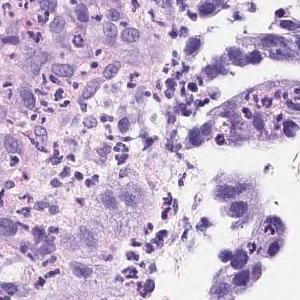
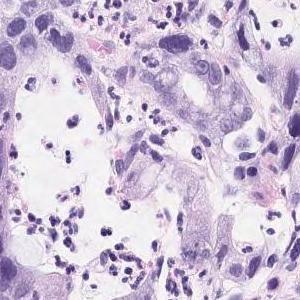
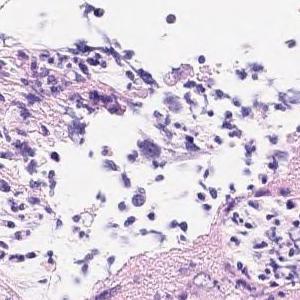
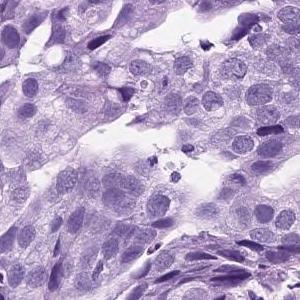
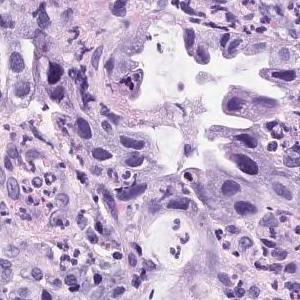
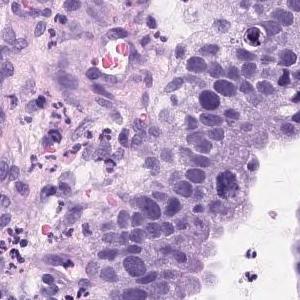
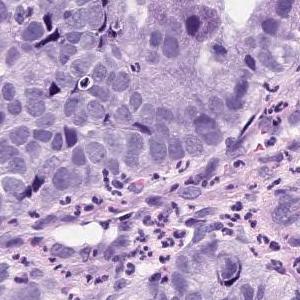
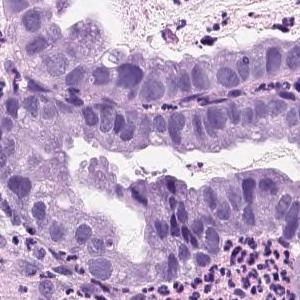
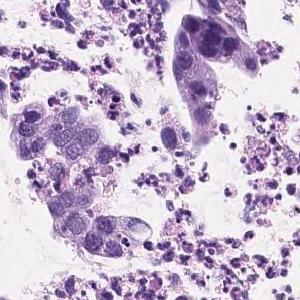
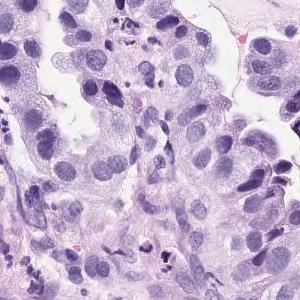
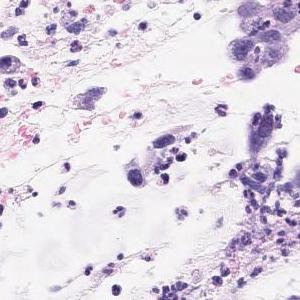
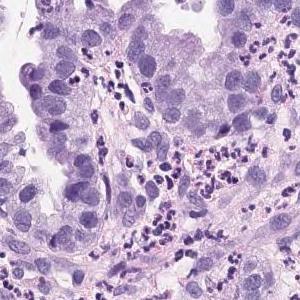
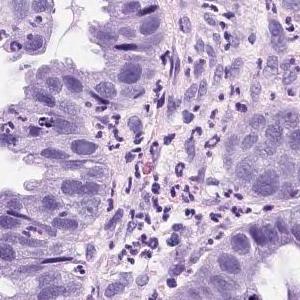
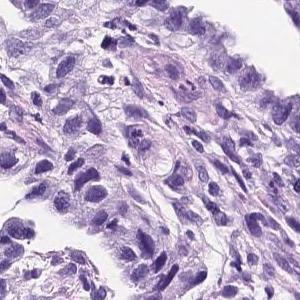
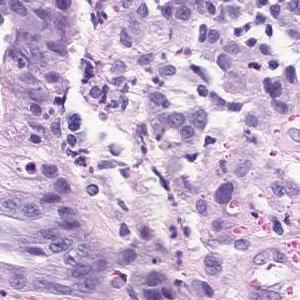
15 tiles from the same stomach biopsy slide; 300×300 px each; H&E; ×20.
Diagnostic report for the slide these tiles come from. The findings and the diagnosis refer to the entire slide; these tiles show only part of it, possibly with non-tumor tissue, and may not show every feature named.
Atypical l cells with atypical nuclei forming solid or diffuse vesicles or small irregular atypical ducts and growing in a complex manner. Well differentiated tubular adenocarcinoma
